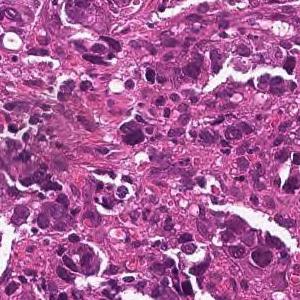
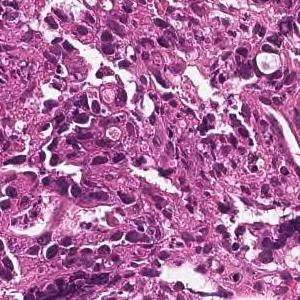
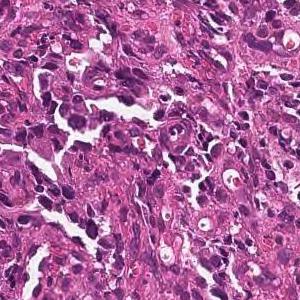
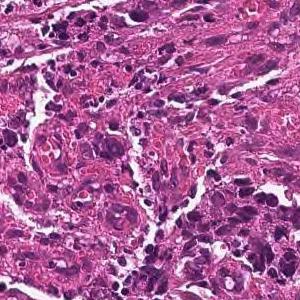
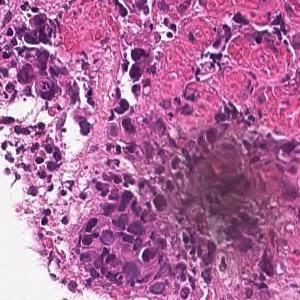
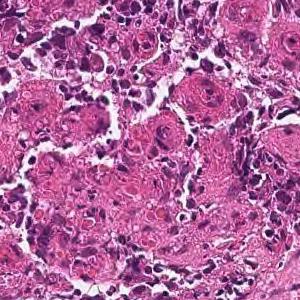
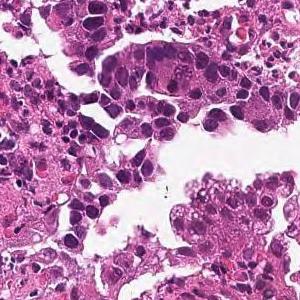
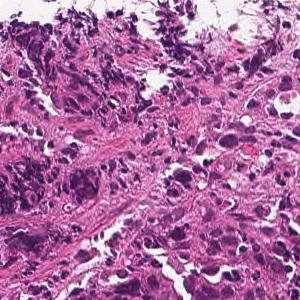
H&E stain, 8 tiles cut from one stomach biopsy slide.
Diagnostic report for the slide these tiles come from. The findings and the diagnosis refer to the entire slide; these tiles show only part of it, possibly with non-tumor tissue, and may not show every feature named.
Tumor tissue consisting of medium-sized, cord-like or irregular glandular infiltration is observed in the superficial epithelium. Poorly differentiated adenocarcinoma, non-solid type or moderately differentiated tubular adenocarcinoma
Histological subtype: Moderately to poorly differentiated adenocarcinoma.
The term "non-solid type" comes from the Japanese Classification of Gastric Carcinoma.
